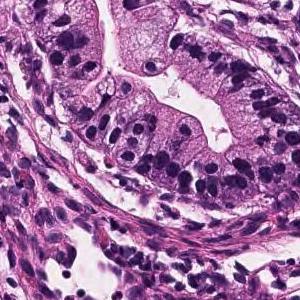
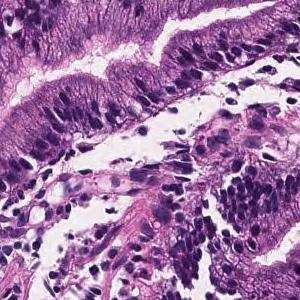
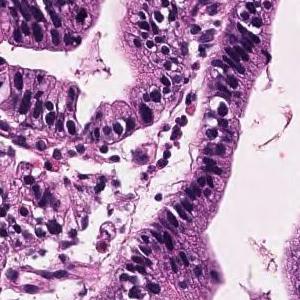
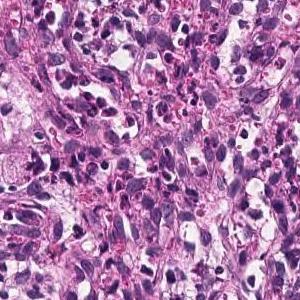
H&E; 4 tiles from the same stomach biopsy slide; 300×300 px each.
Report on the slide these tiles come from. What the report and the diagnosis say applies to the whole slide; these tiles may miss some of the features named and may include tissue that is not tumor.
Tumor tissue consisting of large papillary structures or irregular glandular ducts partially fused and infiltrated is observed in the superficial epithelium. Well to moderately differentiated tubular adenocarcinoma.
Dataset label: moderately differentiated tubular adenocarcinoma.
